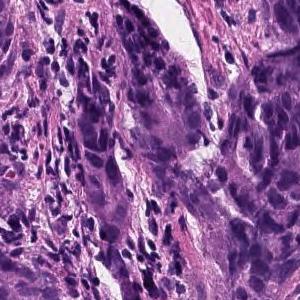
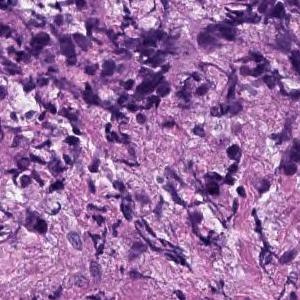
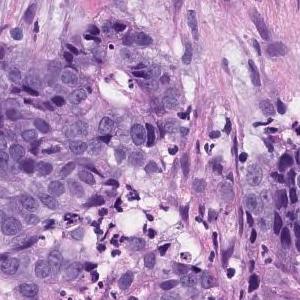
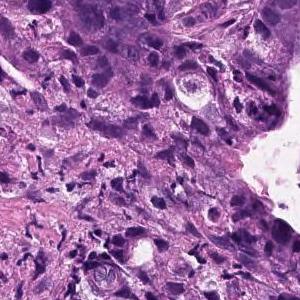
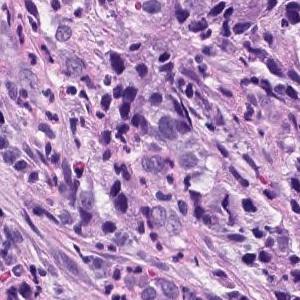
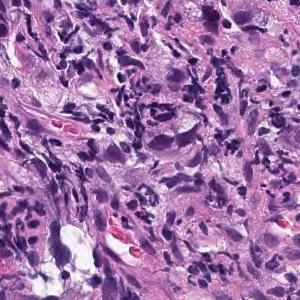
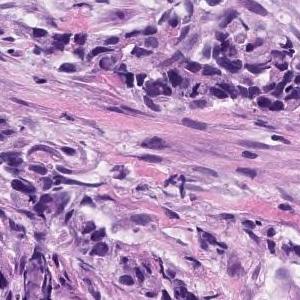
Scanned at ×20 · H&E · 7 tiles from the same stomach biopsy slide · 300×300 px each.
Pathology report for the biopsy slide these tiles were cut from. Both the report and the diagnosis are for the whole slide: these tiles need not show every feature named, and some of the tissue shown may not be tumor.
Medium to small, irregular glandular ducts are formed in the superficial epithelium, and in some cases, the glandular ducts are fused to show solid alveolar lesions and infiltrating tumor tissue is observed. Moderately to poorly differentiated adenocarcinoma.
